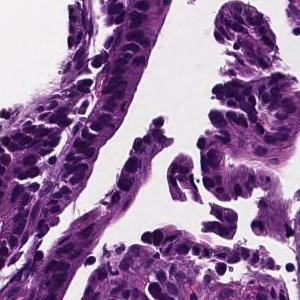
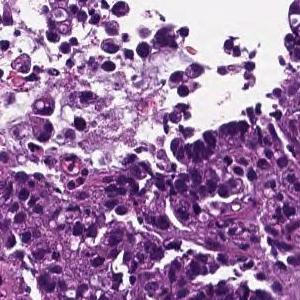
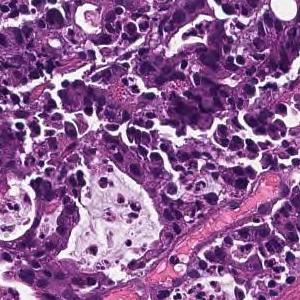
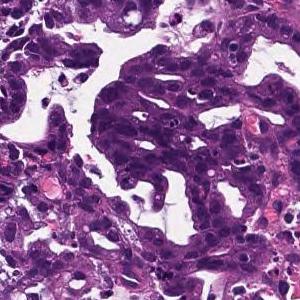
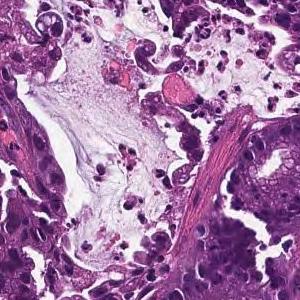
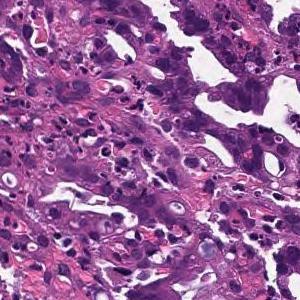
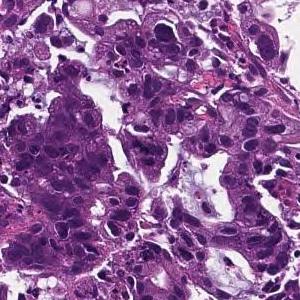
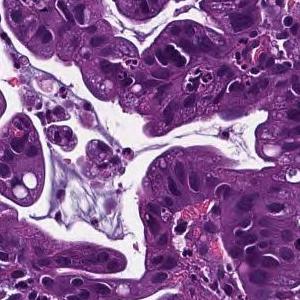
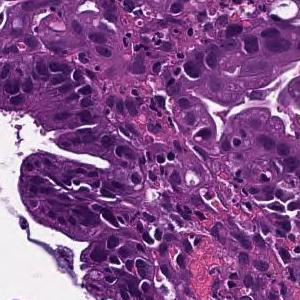
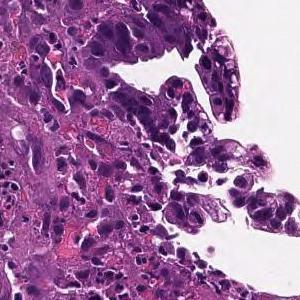
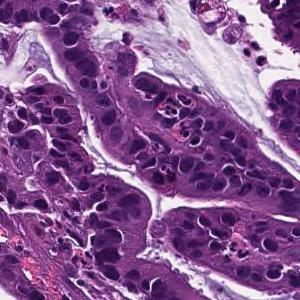
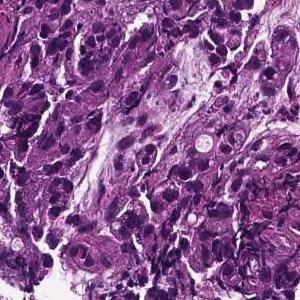
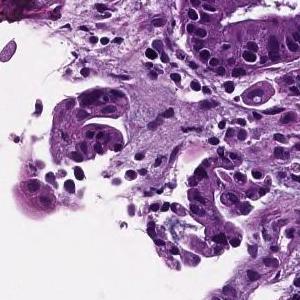
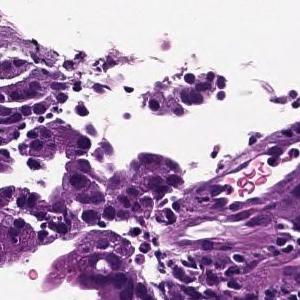
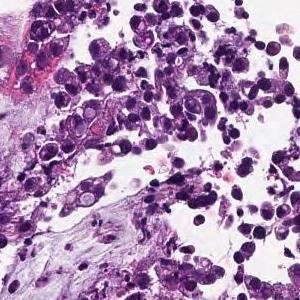
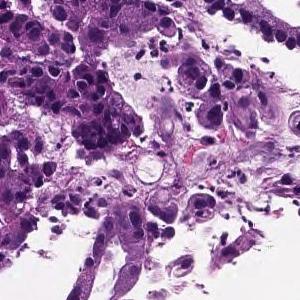
16 patches cut from one gastric biopsy slide; scanned at ×20; H&E.
Diagnostic report for the slide these tiles come from. What the report and the diagnosis say applies to the whole slide; these tiles may miss some of the features named and may include tissue that is not tumor.
On the superficial epithelium, tumor tissue consisting of large irregular glandular ducts partially fused and infiltrated is observed. Well to moderately differentiated tubular adenocarcinoma (well differentiated tubular adenocarcinoma, moderately differentiated tubular adenocarcinoma)
Histological subtype: Well to moderately differentiated tubular adenocarcinoma.
